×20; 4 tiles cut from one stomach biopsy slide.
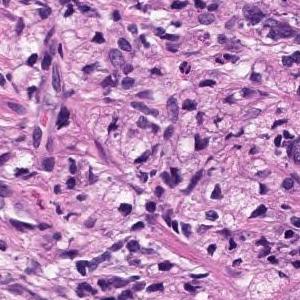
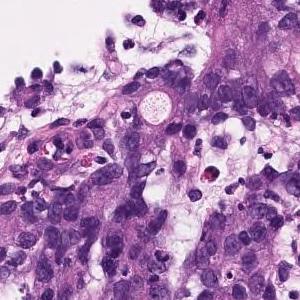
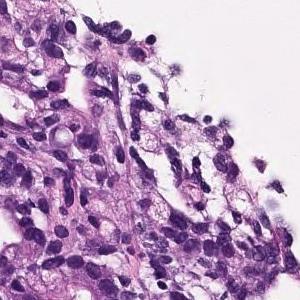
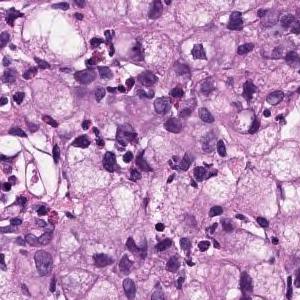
Diagnostic report for the slide these tiles come from. Both the report and the diagnosis are for the whole slide: these tiles need not show every feature named, and some of the tissue shown may not be tumor.
Atypical epithelium forms irregularly fused gland ducts and proliferates. Poorly differentiated adenocarcinoma.
Histological subtype: Poorly differentiated adenocarcinoma, non-solid type.
"Non-solid type" is a category of the Japanese Classification of Gastric Carcinoma.
